14 patches cut from one gastric biopsy slide; each 300 × 300 pixels.
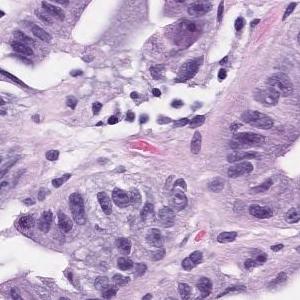
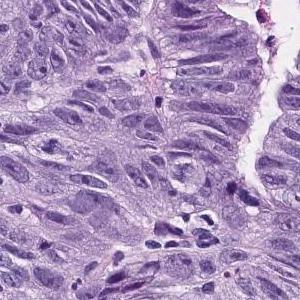
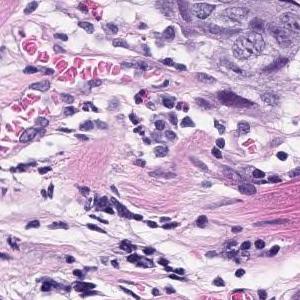
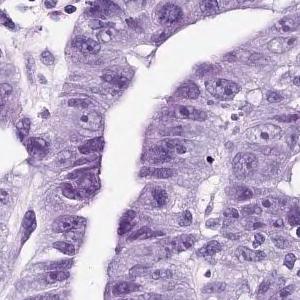
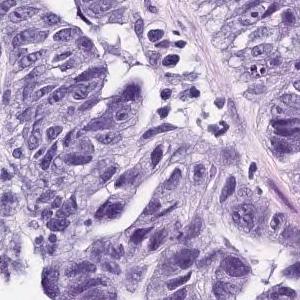
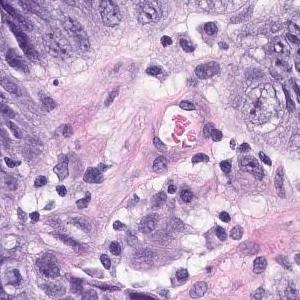
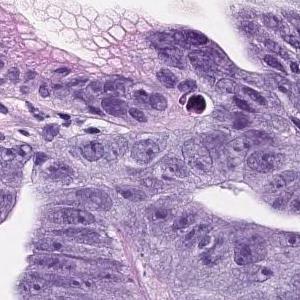
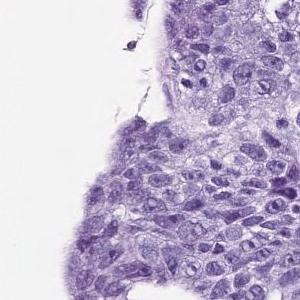
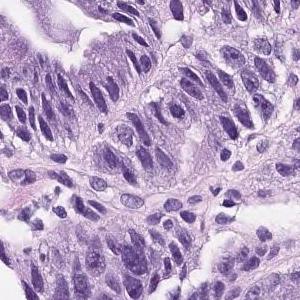
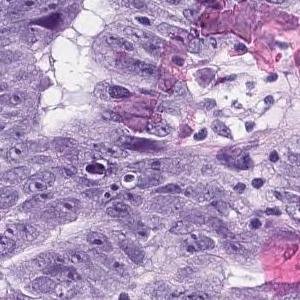
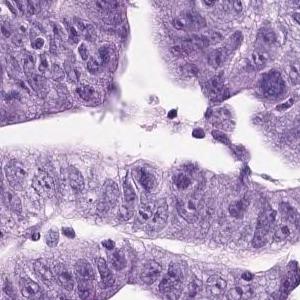
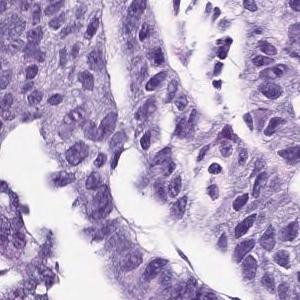
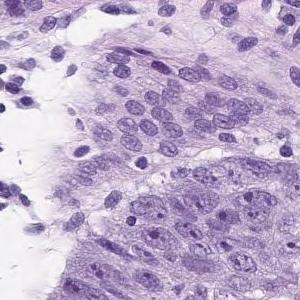
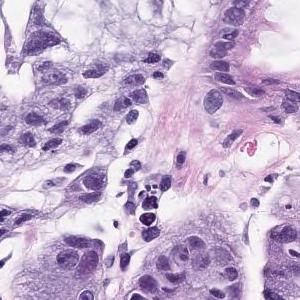
Pathology report for the slide these tiles were cut from. The report and the diagnosis describe the slide as a whole, so these tiles may not show every feature named and may include non-tumor tissue.
In the superficial epithelium, tumor tissue that invades by forming medium-sized to small, irregular ducts is observed. Moderately differentiated adenocarcinoma.
Histological subtype: Moderately differentiated tubular adenocarcinoma.
